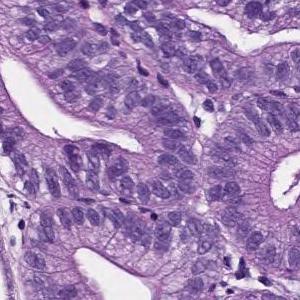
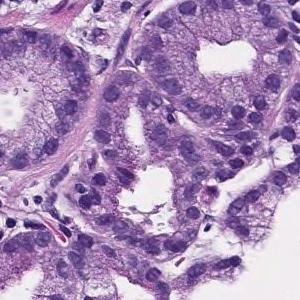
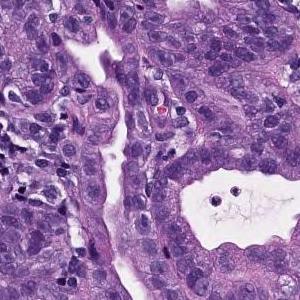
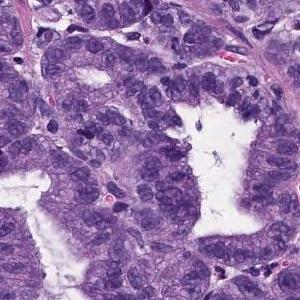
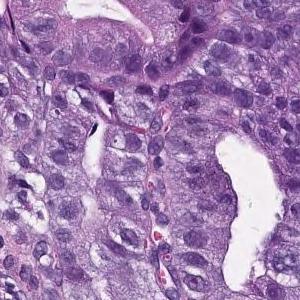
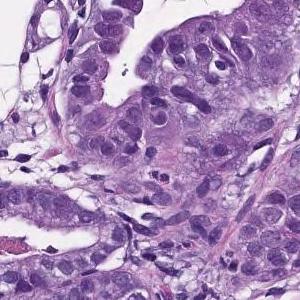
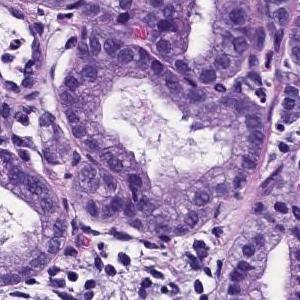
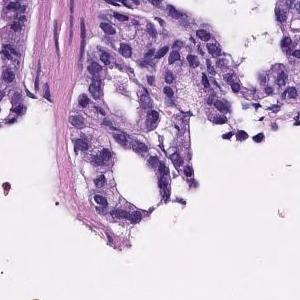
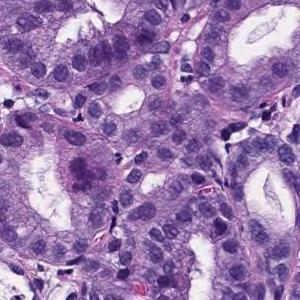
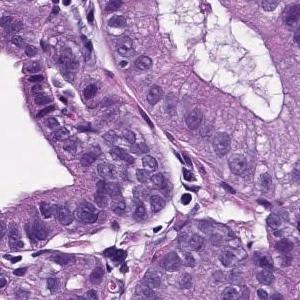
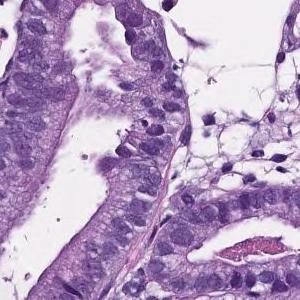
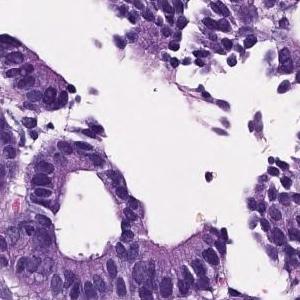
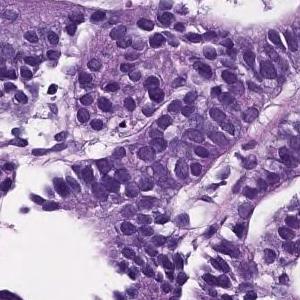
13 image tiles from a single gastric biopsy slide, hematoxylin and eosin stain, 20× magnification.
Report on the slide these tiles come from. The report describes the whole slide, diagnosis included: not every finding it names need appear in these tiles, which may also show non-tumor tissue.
On the superficial epithelium, tumor tissue that infiltrates by forming medium-sized papillary or small irregular ducts is observed. Papillary adenocarcinoma
